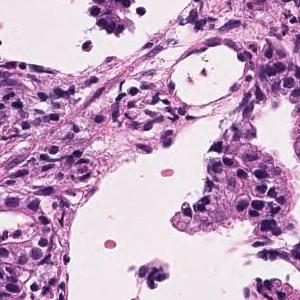
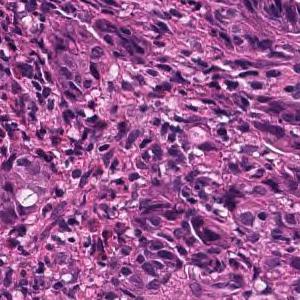
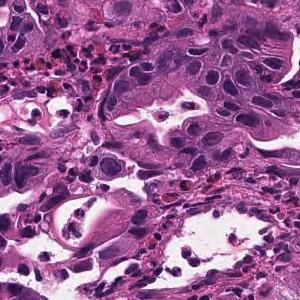
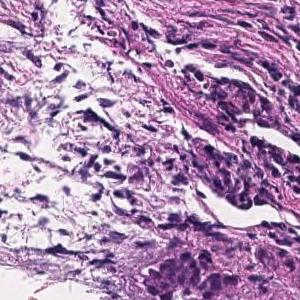
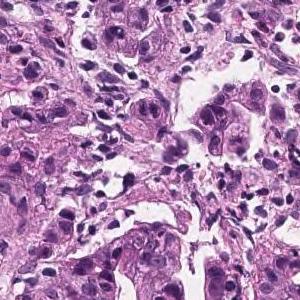
5 tiles from the same stomach biopsy slide.
Pathology report for the slide these tiles were cut from. The report describes the whole slide, diagnosis included: not every finding it names need appear in these tiles, which may also show non-tumor tissue.
Tumor tissue consisting of medium-sized, cord-like or irregular glandular infiltration is observed in the superficial epithelium. Poorly differentiated adenocarcinoma, non-solid type or moderately differentiated tubular adenocarcinoma
The non-solid type named here is a Japanese Classification of Gastric Carcinoma category.
